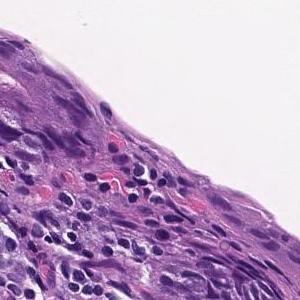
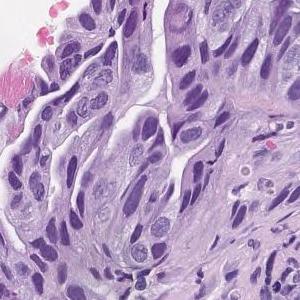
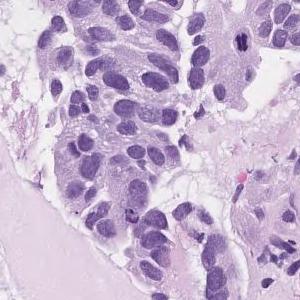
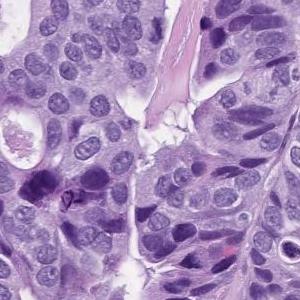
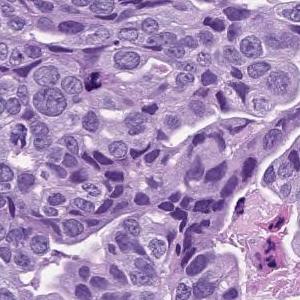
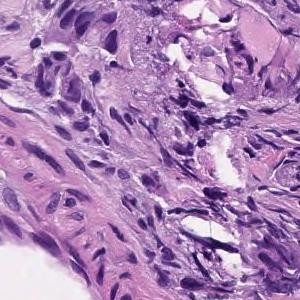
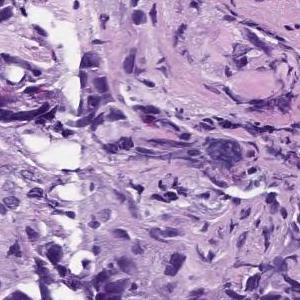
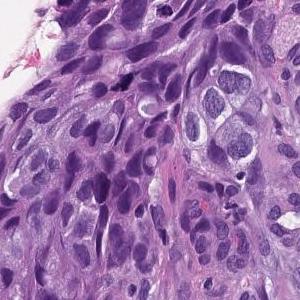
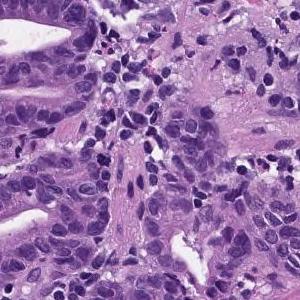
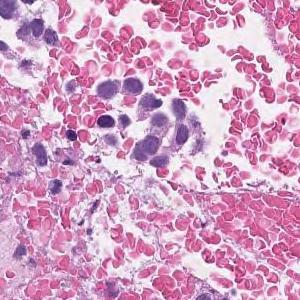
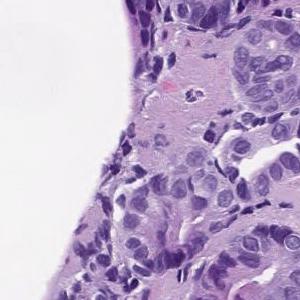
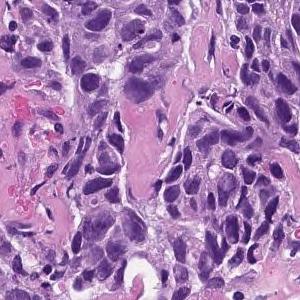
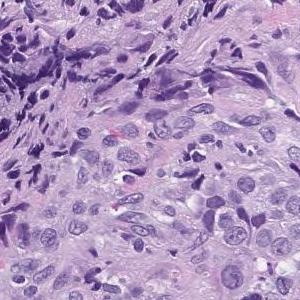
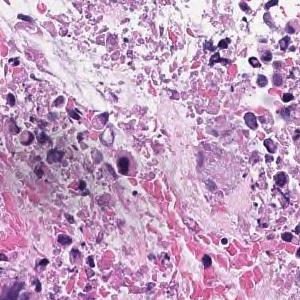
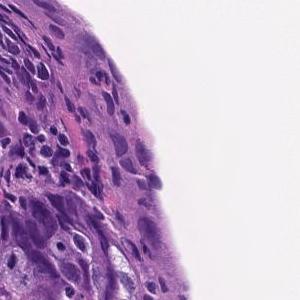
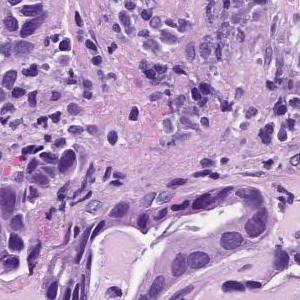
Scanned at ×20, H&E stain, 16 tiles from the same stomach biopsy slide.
Report on the slide these tiles come from. The report and the diagnosis describe the slide as a whole, so these tiles may not show every feature named and may include non-tumor tissue.
In the superficial epithelium, tumor tissue that invades by forming medium-sized to small, irregular ducts is observed. moderately differentiated tubular adenocarcinoma.
